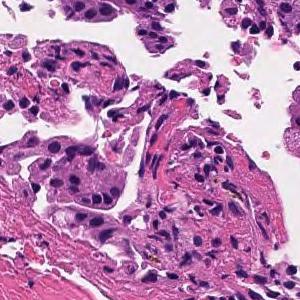
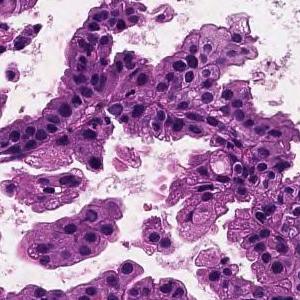
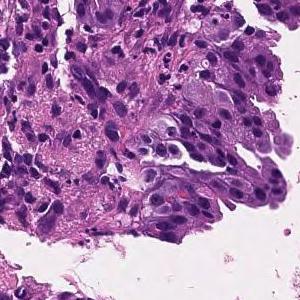
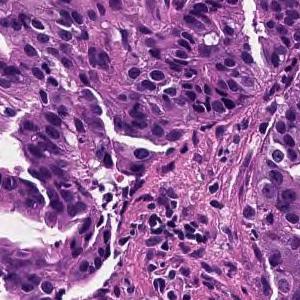
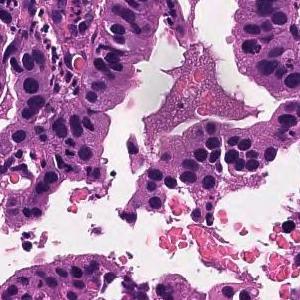
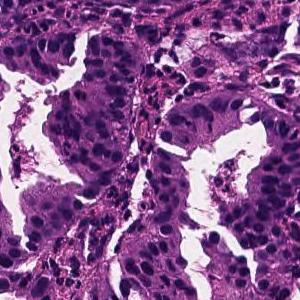
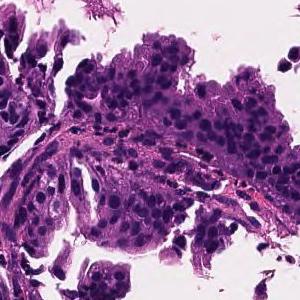
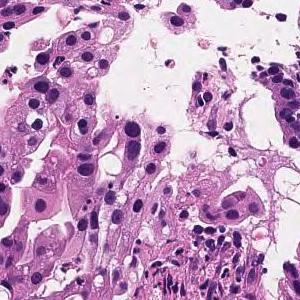
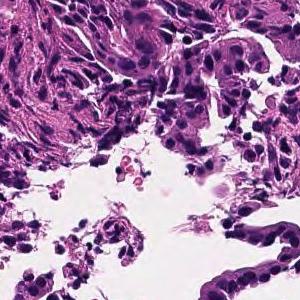
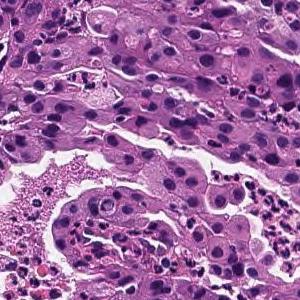
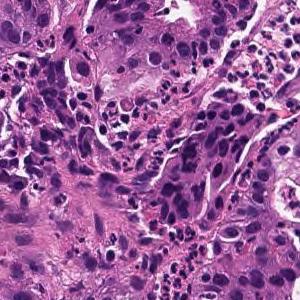
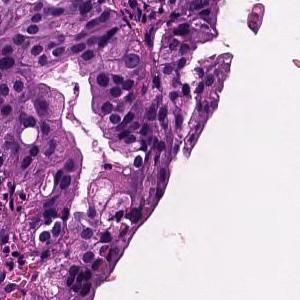
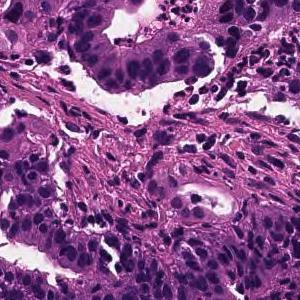
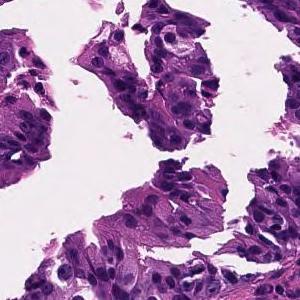
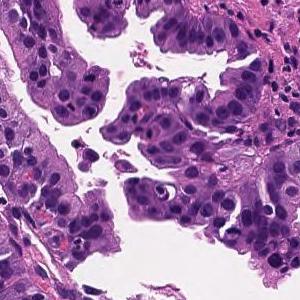
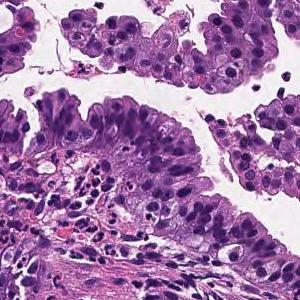
16 tiles cut from one stomach biopsy slide, each 300 × 300 pixels, H&E stain.
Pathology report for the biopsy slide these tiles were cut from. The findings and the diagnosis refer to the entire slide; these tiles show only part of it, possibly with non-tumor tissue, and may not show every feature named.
On the superficial epithelium, tumor tissue consisting of large, irregular glandular ducts partially fused and infiltrated is observed. Well to moderately differentiated tubular adenocarcinoma (well differentiated tubular adenocarcinoma, moderately differentiated tubular adenocarcinoma)
Tumor subtype: well to moderately differentiated tubular adenocarcinoma.
